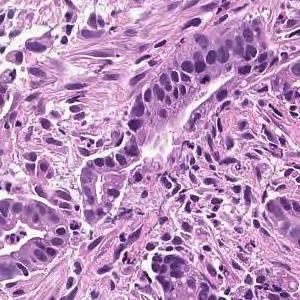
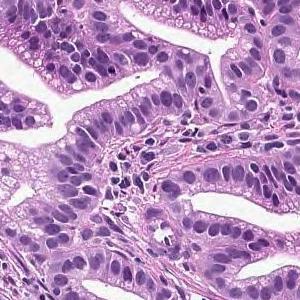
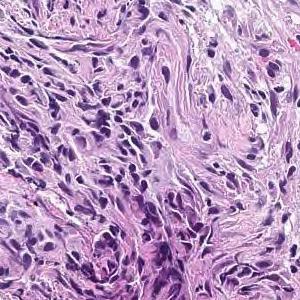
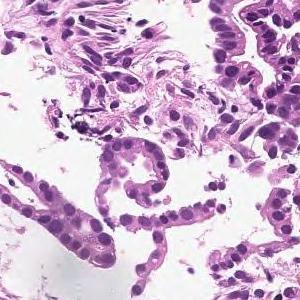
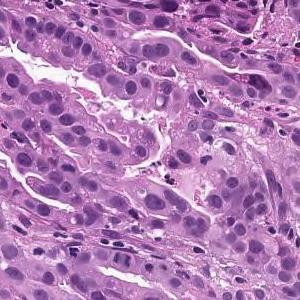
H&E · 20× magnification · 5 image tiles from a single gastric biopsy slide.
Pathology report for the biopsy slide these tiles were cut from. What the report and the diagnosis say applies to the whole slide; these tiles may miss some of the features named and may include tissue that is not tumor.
On the superficial epithelium, tumor tissue that infiltrates by forming medium-sized papillary or small irregular ducts is observed. Papillary adenocarcinoma
